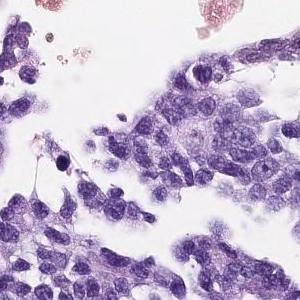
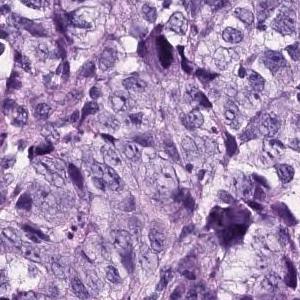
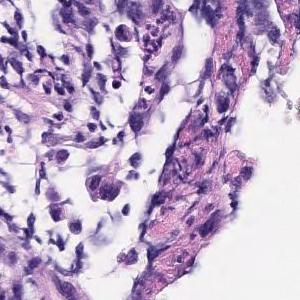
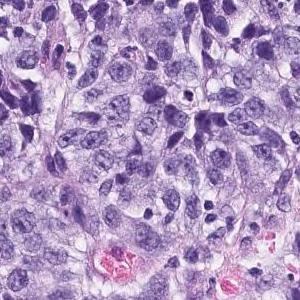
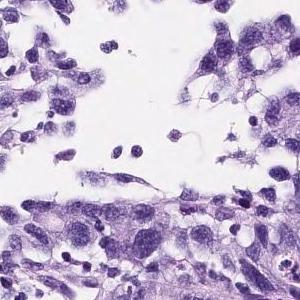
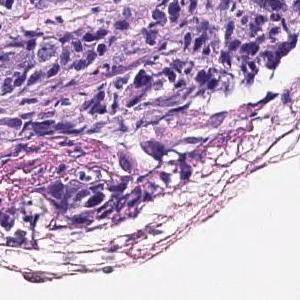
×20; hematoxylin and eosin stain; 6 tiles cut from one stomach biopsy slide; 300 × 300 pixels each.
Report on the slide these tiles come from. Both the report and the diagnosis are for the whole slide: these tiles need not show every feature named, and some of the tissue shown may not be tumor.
The superficial epithelium shows a large sheet-like shape, and some tumor tissue infiltrates with small irregular ducts. Poorly differentiated adenocarcinoma, solid-type
Histological subtype: Poorly differentiated adenocarcinoma, solid type, a category of the Japanese Classification of Gastric Carcinoma; in the WHO 2019 classification it is tubular adenocarcinoma, poorly differentiated.
